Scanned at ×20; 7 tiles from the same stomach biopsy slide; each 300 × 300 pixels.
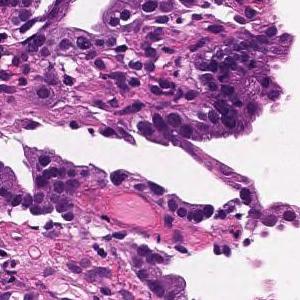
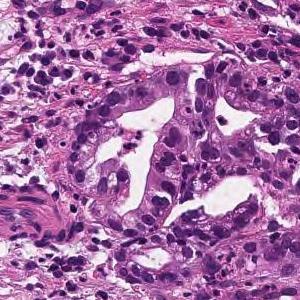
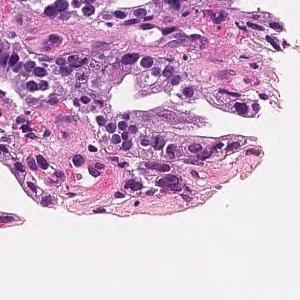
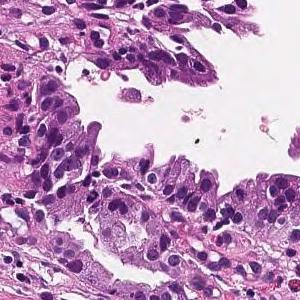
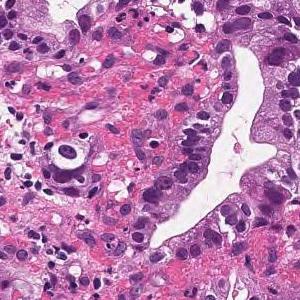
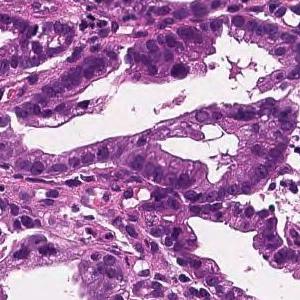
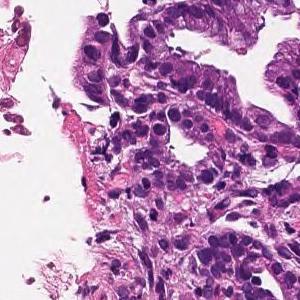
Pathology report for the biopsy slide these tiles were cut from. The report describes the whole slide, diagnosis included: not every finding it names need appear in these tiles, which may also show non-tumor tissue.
On the superficial epithelium, tumor tissue that infiltrates by forming medium-sized papillary or small irregular ducts is observed. Papillary adenocarcinoma
